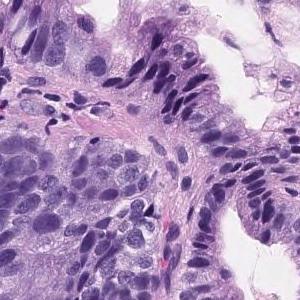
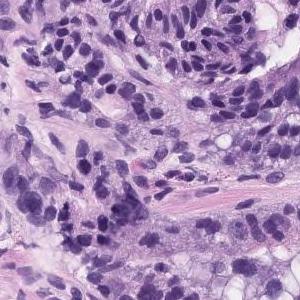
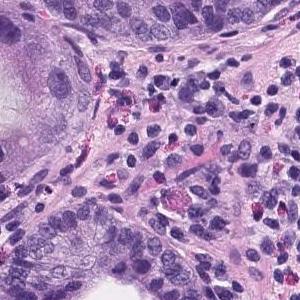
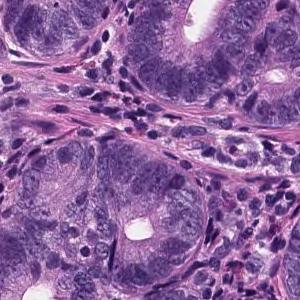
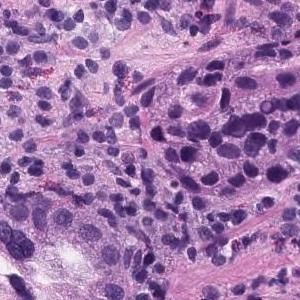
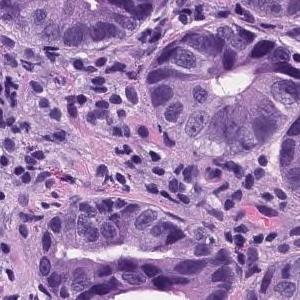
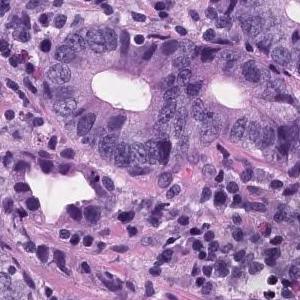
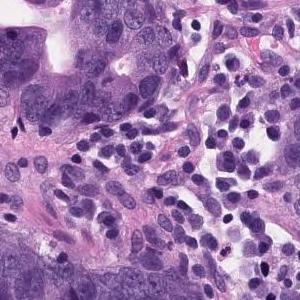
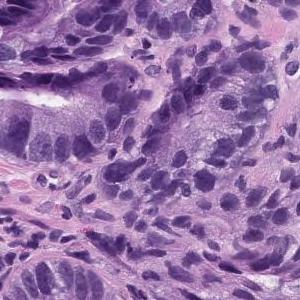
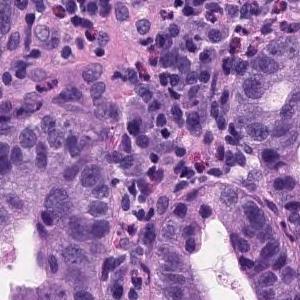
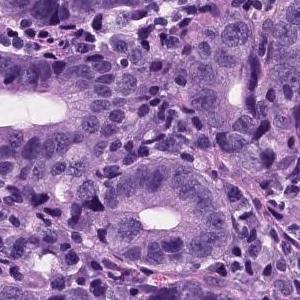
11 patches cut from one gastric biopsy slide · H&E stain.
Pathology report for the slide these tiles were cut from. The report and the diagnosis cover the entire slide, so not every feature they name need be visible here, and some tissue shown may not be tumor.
Tumor tissue consisting of medium-sized and irregular ducts is observed infiltrating in the superficial epithelium. Tumor cells are highly columnar, with nuclei aligned basolaterally and polarized. Well differentiated tubular adenocarcinoma.
